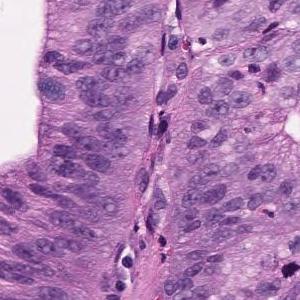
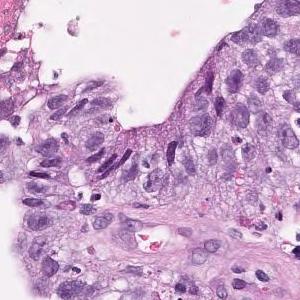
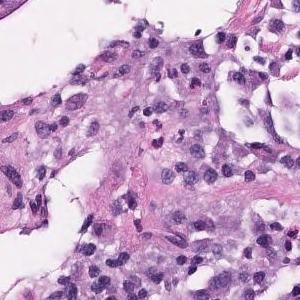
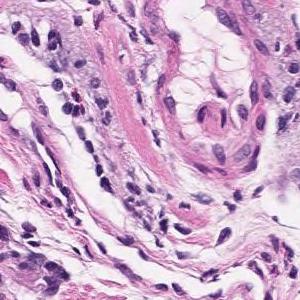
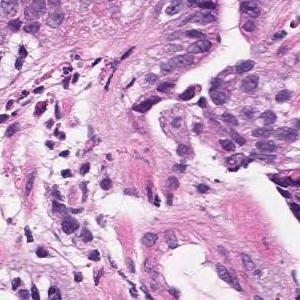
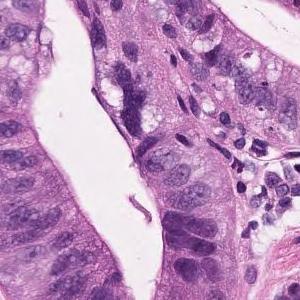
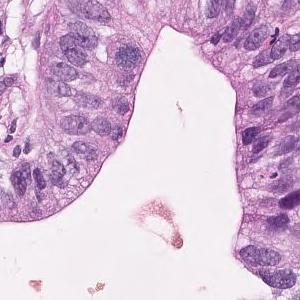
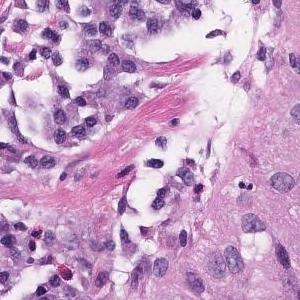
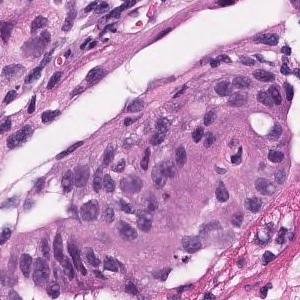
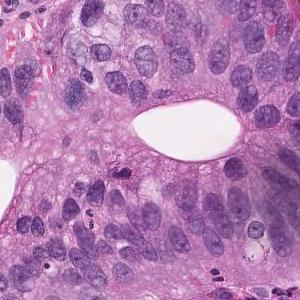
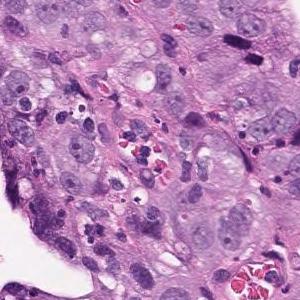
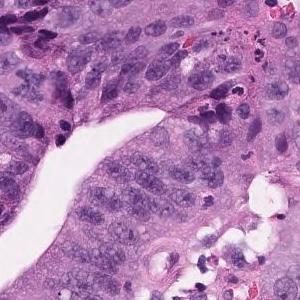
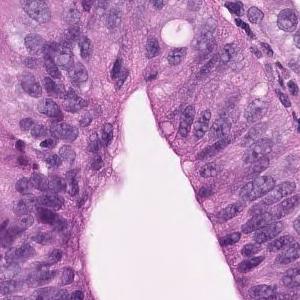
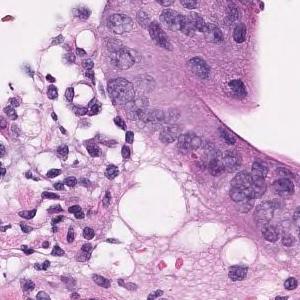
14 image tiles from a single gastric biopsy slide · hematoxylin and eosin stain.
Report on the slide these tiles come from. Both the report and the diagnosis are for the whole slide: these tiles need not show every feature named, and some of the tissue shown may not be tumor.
On the superficial epithelium, tumor tissue consisting of medium to small irregular tubules partially fused and proliferated is observed. Well differentiated tubular adenocarcinoma
